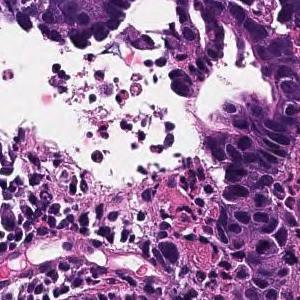
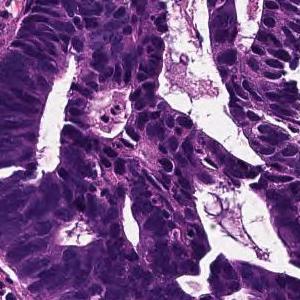
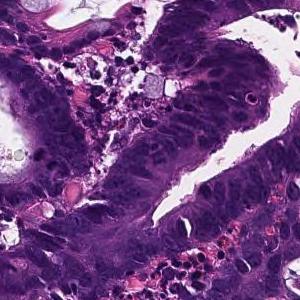
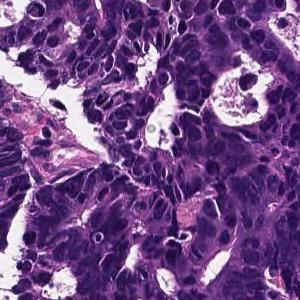
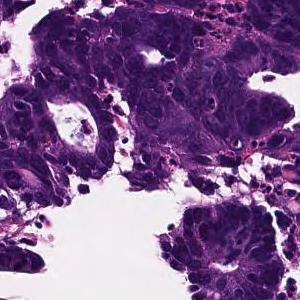
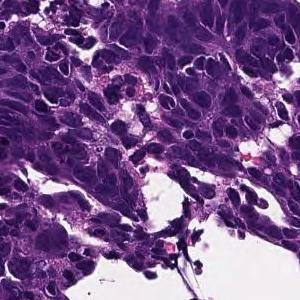
6 patches cut from one gastric biopsy slide; 300 × 300 pixels each; hematoxylin and eosin stain.
The pathologist's report on the biopsy slide these tiles were taken from. Both the report and the diagnosis are for the whole slide: these tiles need not show every feature named, and some of the tissue shown may not be tumor.
In the superficial epithelium, tumor tissue that invades by forming medium-sized to small, irregular ducts is observed. moderately differentiated tubular adenocarcinoma.
